Hematoxylin and eosin stain, 6 image tiles from a single gastric biopsy slide.
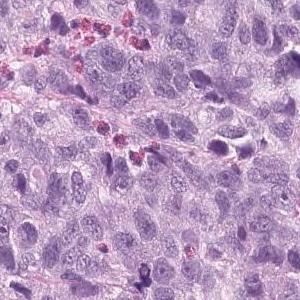
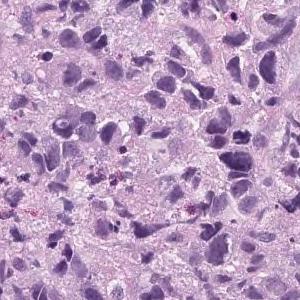
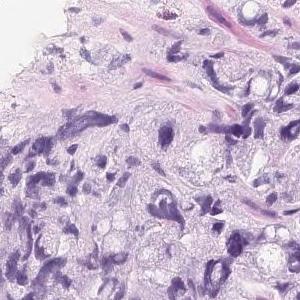
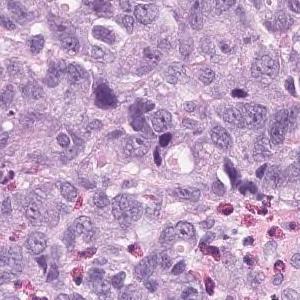
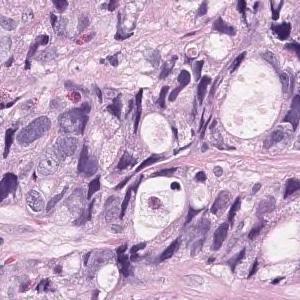
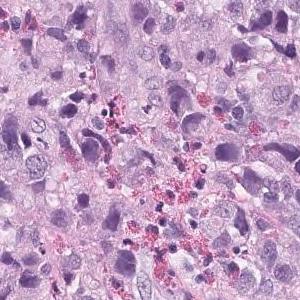
Report on the slide these tiles come from. What the report and the diagnosis say applies to the whole slide; these tiles may miss some of the features named and may include tissue that is not tumor.
Tumor tissue that infiltrates and proliferates by forming small glandular cavities in the superficial layer to the submucosa or forming a mass is observed. moderately differentiated tubular adenocarcinoma
